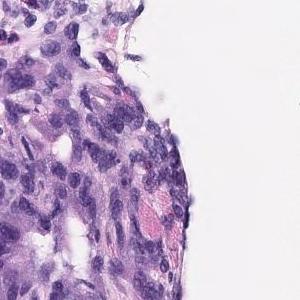
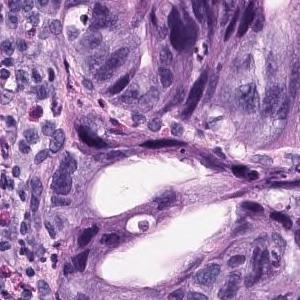
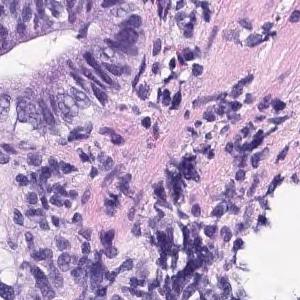
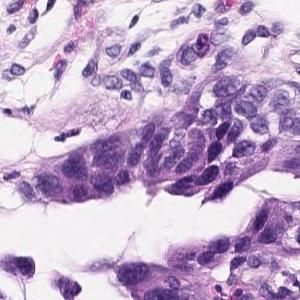
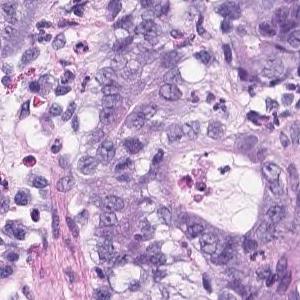
×20 · 5 image tiles from a single gastric biopsy slide.
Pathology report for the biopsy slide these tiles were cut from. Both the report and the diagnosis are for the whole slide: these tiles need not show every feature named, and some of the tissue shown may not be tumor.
In the superficial epithelium, tumor tissue that invades by forming medium-sized to small, irregular ducts is observed. Well to moderately differentiated tubular adenocarcinoma.
